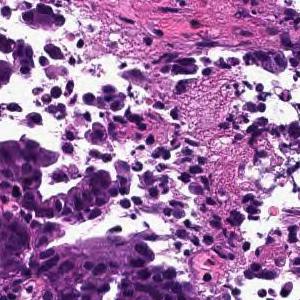
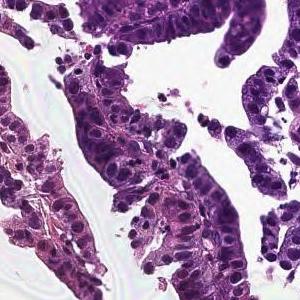
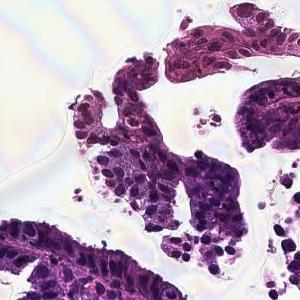
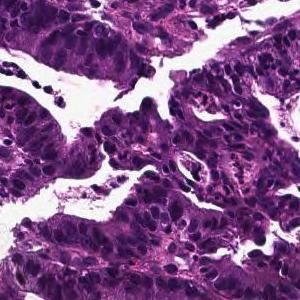
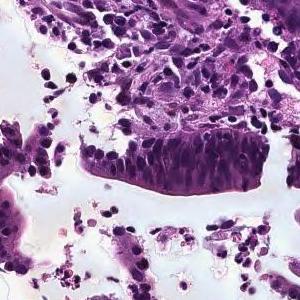
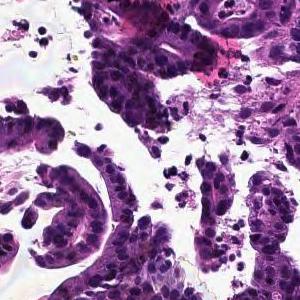
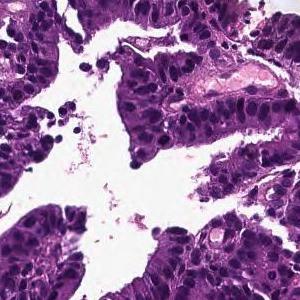
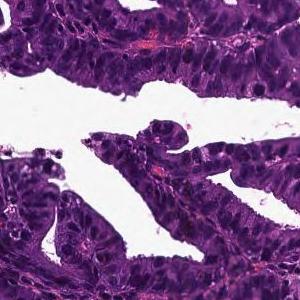
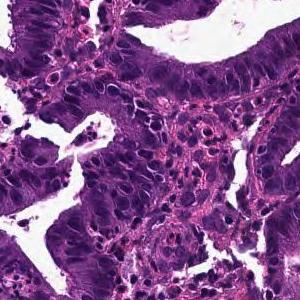
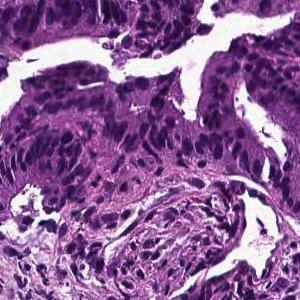
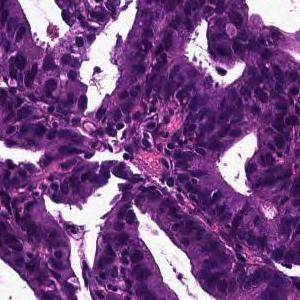
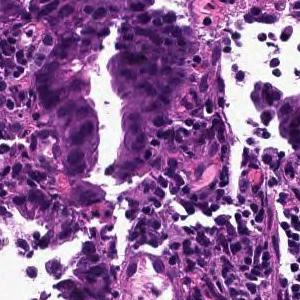
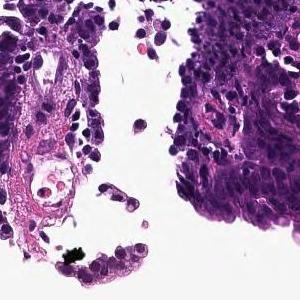
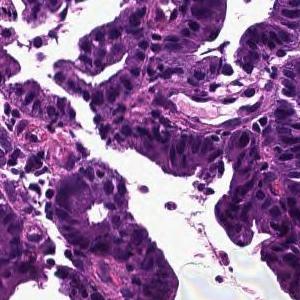
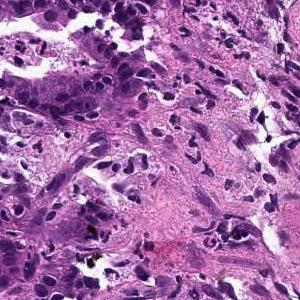
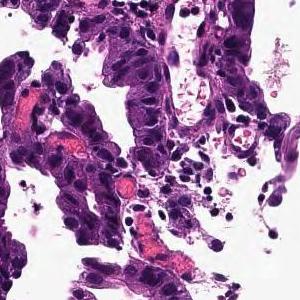
16 tiles cut from one stomach biopsy slide · scanned at ×20 · H&E stain.
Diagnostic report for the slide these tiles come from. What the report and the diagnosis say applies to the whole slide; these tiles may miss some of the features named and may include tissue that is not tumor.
Tumor cells are large, highly columnar, large club-shaped nuclei, and are associated with chromatin aggregation. Papillary adenocarcinoma.
